H&E stain · 20× magnification · 7 tiles from the same stomach biopsy slide.
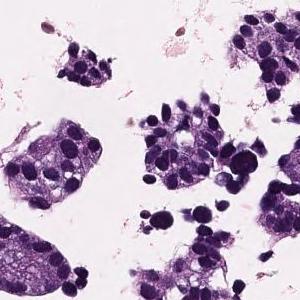
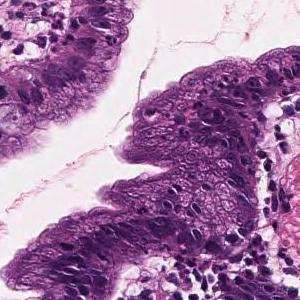
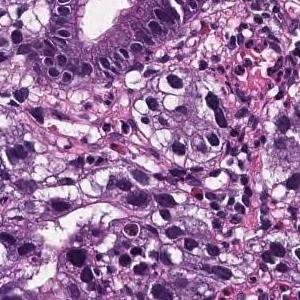
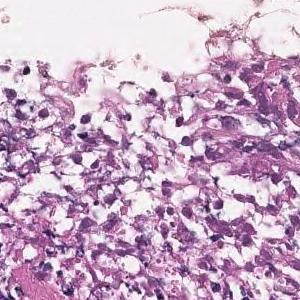
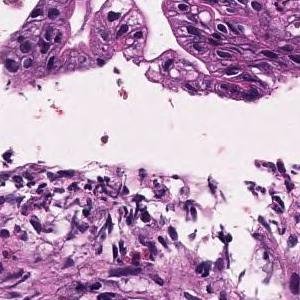
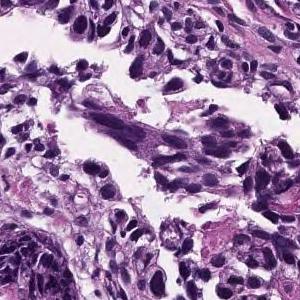
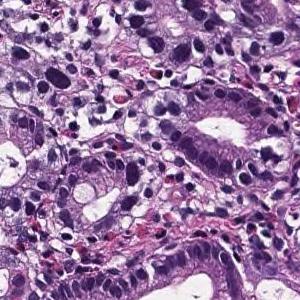
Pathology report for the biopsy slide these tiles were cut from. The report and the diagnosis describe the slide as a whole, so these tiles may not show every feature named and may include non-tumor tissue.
In the superficial epithelium, medium to small irregular gland ducts are formed, and in some cases, the ducts are fused to show solid alveolar lesions and infiltrating tumor tissue is observed. Moderately to poorly differentiated adenocarcinoma
